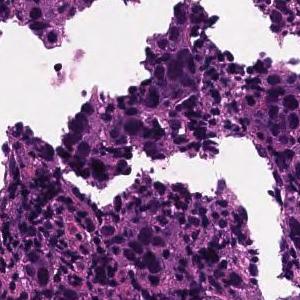
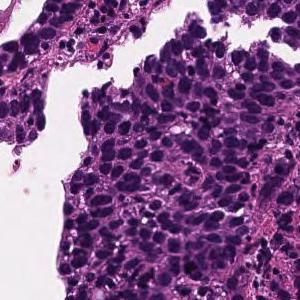
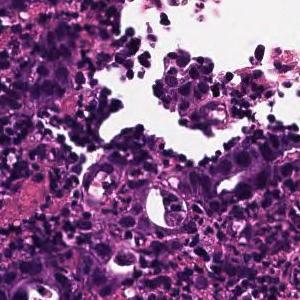
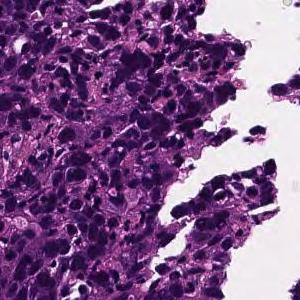
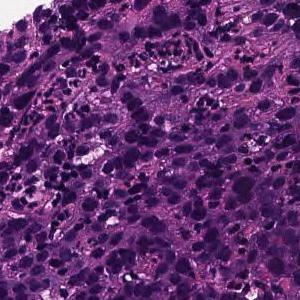
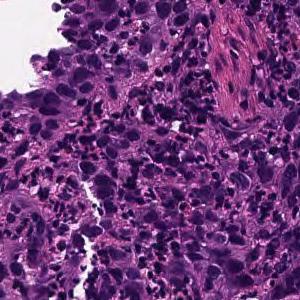
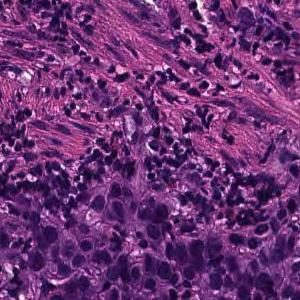
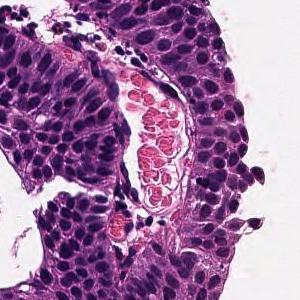
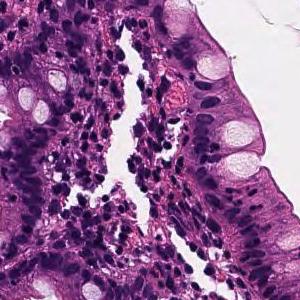
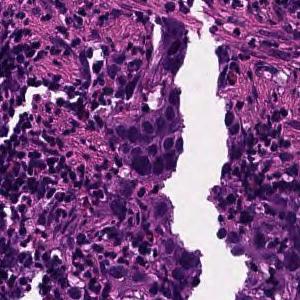
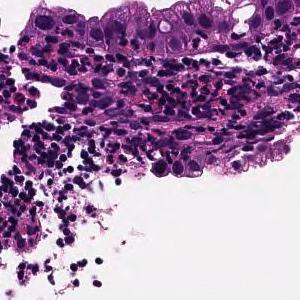
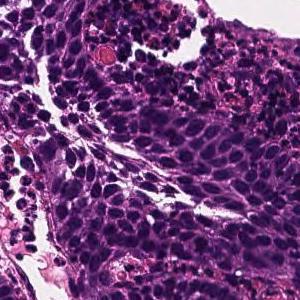
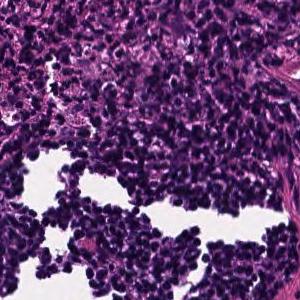
×20, H&E stain, 13 tiles from the same stomach biopsy slide, each 300 × 300 pixels.
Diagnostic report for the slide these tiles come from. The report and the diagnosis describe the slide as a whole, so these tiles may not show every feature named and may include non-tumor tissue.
Tumor tissue consisting of cord-like or small, irregular glandular ducts fused and infiltrated is observed in the superficial epithelium. Poorly differentiated adenocarcinoma, non-solid type
The non-solid type named here is a Japanese Classification of Gastric Carcinoma category.
